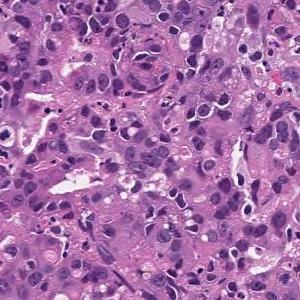
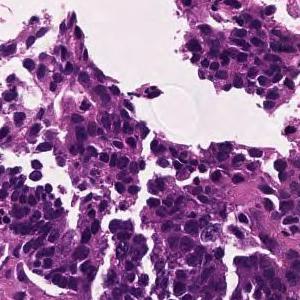
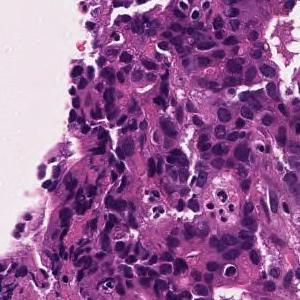
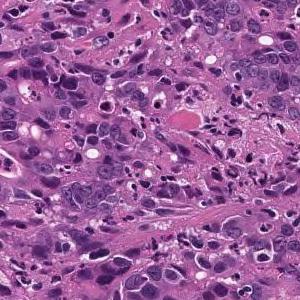
Scanned at ×20 · H&E stain · 4 image tiles from a single gastric biopsy slide · 300 × 300 pixels each.
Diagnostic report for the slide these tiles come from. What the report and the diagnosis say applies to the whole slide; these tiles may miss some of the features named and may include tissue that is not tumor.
In the superficial epithelium, tumor tissue that invades by forming medium-sized to small, irregular ducts is observed. moderately differentiated tubular adenocarcinoma.
